6 tiles from the same stomach biopsy slide; each 300 × 300 pixels; H&E.
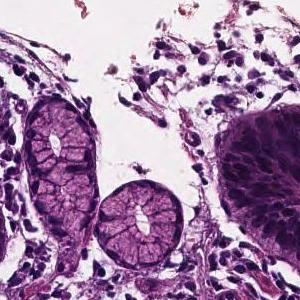
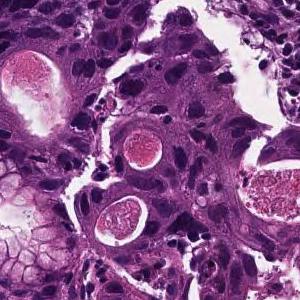
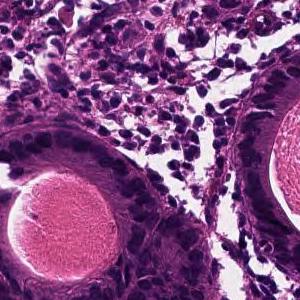
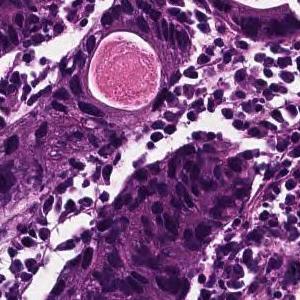
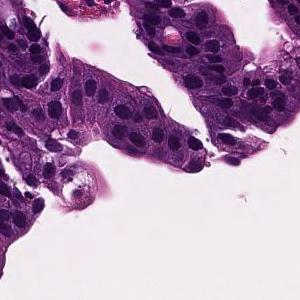
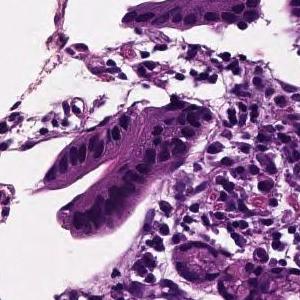
Report on the slide these tiles come from. The report describes the whole slide, diagnosis included: not every finding it names need appear in these tiles, which may also show non-tumor tissue.
In the superficial epithelium, tumor tissue that invades by forming medium-sized to small, irregular ducts is observed. moderately differentiated tubular adenocarcinoma.
